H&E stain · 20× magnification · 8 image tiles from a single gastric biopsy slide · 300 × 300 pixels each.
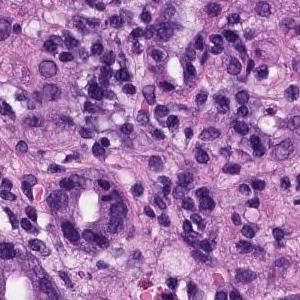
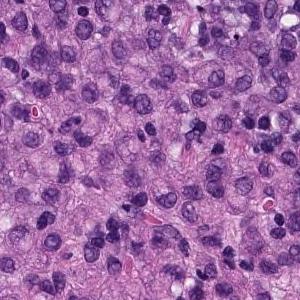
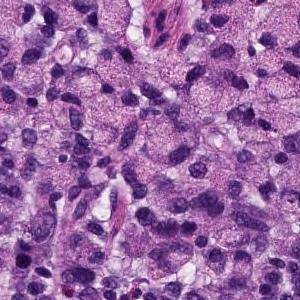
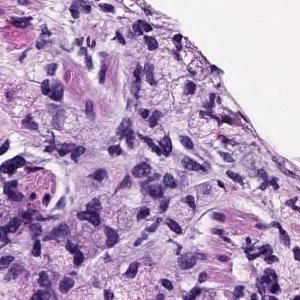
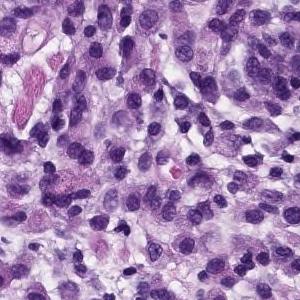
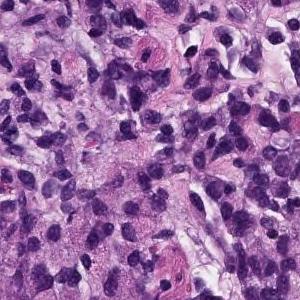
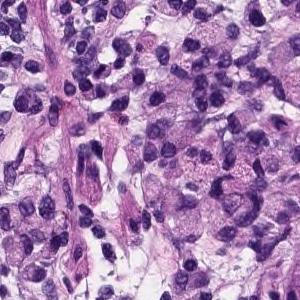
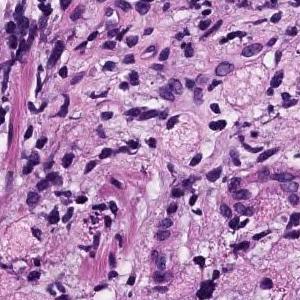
Pathology report for the biopsy slide these tiles were cut from. What the report and the diagnosis say applies to the whole slide; these tiles may miss some of the features named and may include tissue that is not tumor.
The superficial epithelium shows a large sheet-like shape, and some tumor tissue infiltrates with small irregular ducts. Poorly differentiated adenocarcinoma, solid-type
Subtype: Poorly differentiated adenocarcinoma, solid type (Japanese Classification of Gastric Carcinoma). The WHO 2019 equivalent is tubular adenocarcinoma, poorly differentiated.
